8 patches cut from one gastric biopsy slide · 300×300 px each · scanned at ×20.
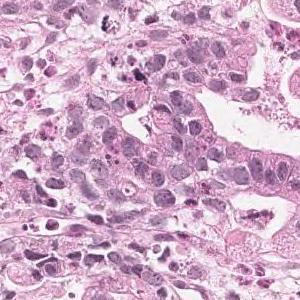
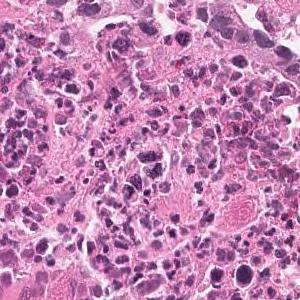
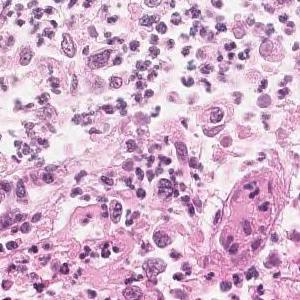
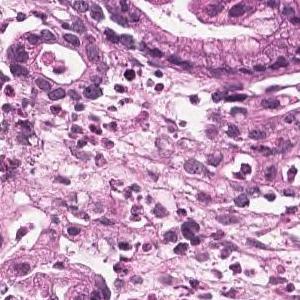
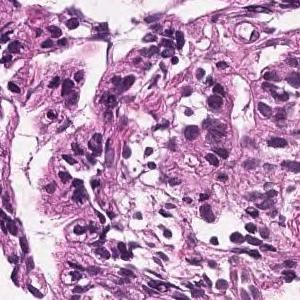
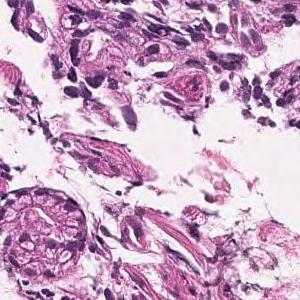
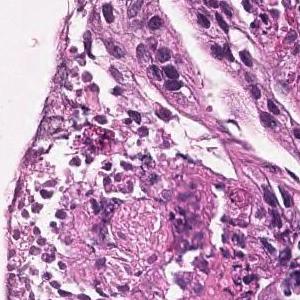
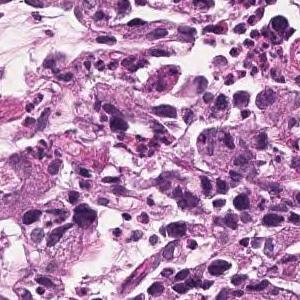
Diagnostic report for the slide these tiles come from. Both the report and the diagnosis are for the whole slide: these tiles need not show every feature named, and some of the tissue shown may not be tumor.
In the superficial epithelium, medium to small irregular gland ducts are formed, and in some cases, the ducts are fused to show solid alveolar lesions and infiltrating tumor tissue is observed. Moderately to poorly differentiated adenocarcinoma
